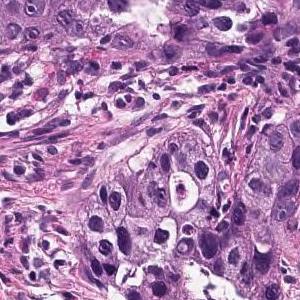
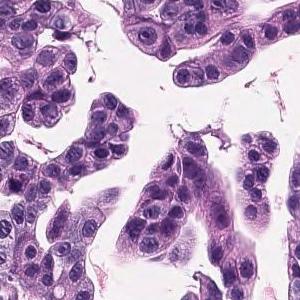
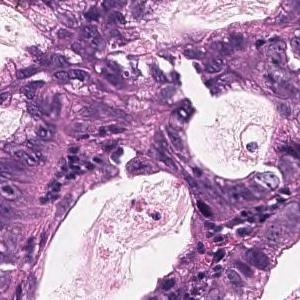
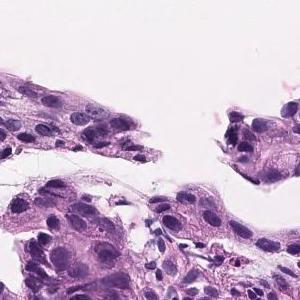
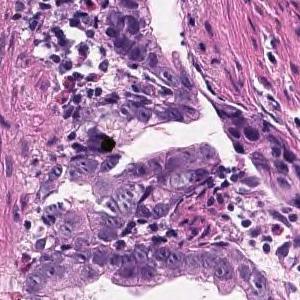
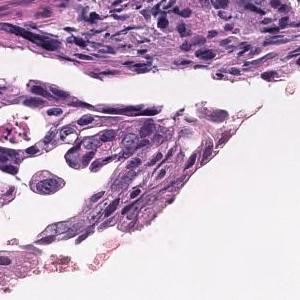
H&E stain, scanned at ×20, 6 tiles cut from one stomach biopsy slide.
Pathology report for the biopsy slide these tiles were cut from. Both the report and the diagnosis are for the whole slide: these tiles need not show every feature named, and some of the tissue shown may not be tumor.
Tumor cells are large, highly columnar, large club-shaped nuclei, and are associated with chromatin aggregation. Papillary adenocarcinoma.
